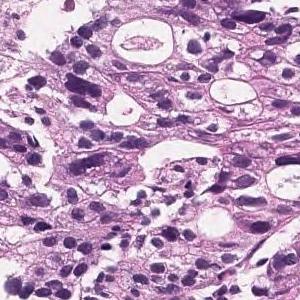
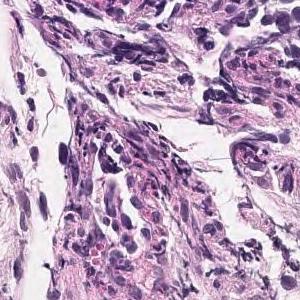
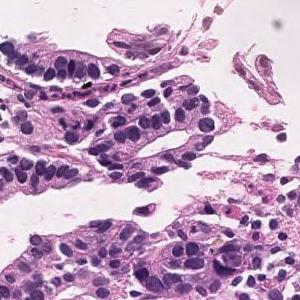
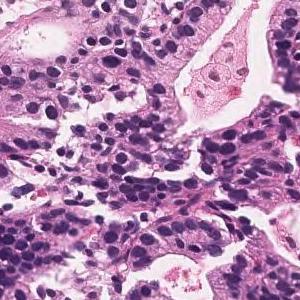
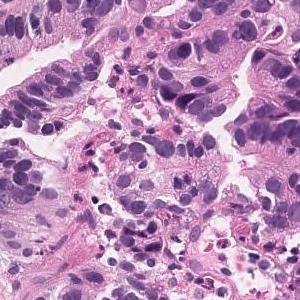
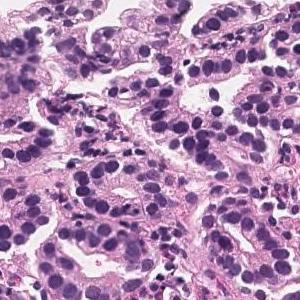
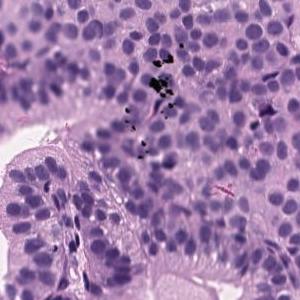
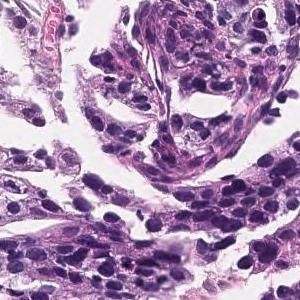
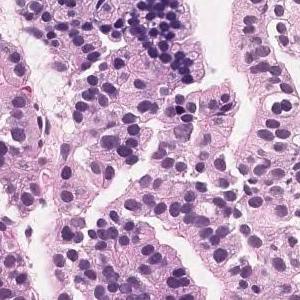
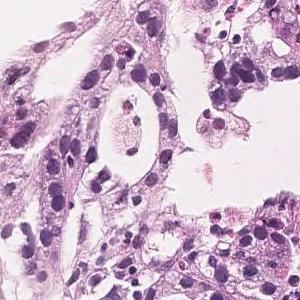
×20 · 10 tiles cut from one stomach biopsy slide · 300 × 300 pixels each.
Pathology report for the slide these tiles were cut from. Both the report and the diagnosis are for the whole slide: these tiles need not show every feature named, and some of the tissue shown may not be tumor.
In the superficial epithelium, tumor tissue that invades by forming medium-sized to small, irregular ducts is observed. moderately differentiated tubular adenocarcinoma.
